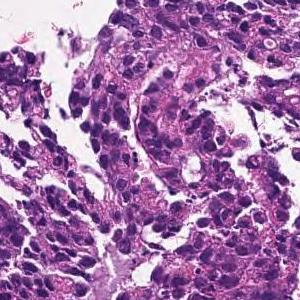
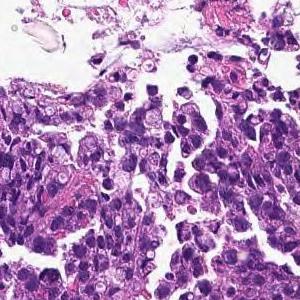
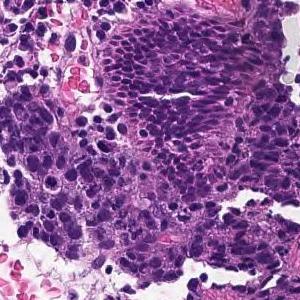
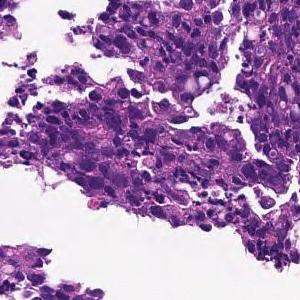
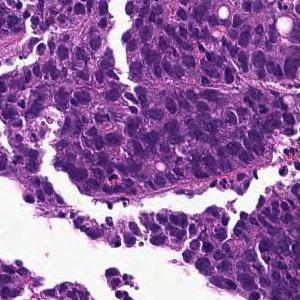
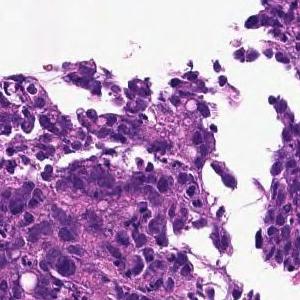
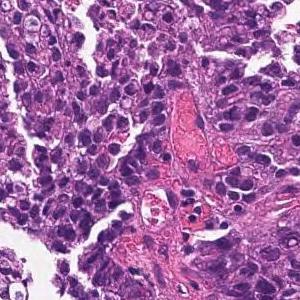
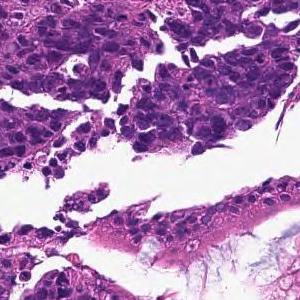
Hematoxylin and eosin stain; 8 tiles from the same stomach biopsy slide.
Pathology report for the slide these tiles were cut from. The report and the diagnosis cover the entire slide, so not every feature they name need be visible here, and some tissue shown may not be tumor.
The superficial epithelium shows a large sheet-like shape, and some tumor tissue infiltrates with small irregular ducts. Poorly differentiated adenocarcinoma, solid-type
Tumor subtype: poorly differentiated adenocarcinoma, solid type. This name comes from the Japanese Classification of Gastric Carcinoma; the WHO 2019 classification calls it tubular adenocarcinoma, poorly differentiated.
